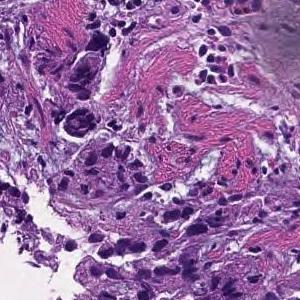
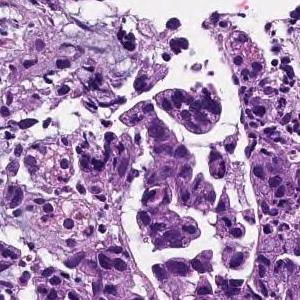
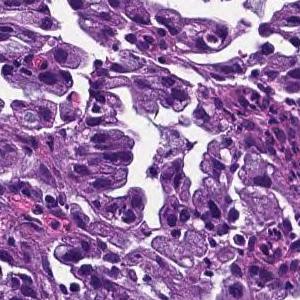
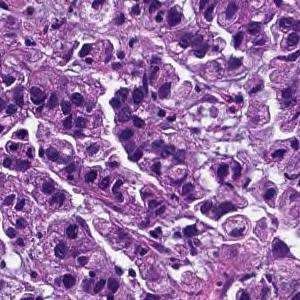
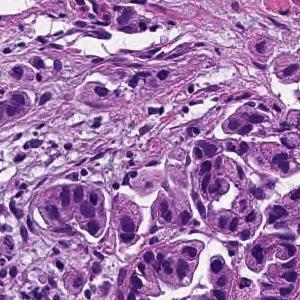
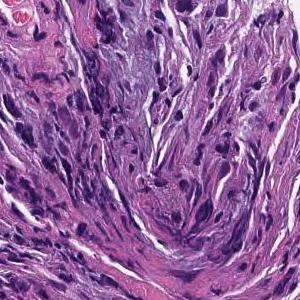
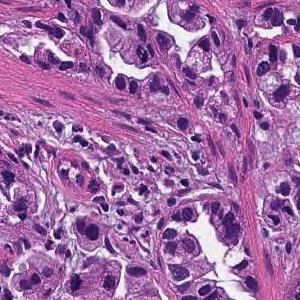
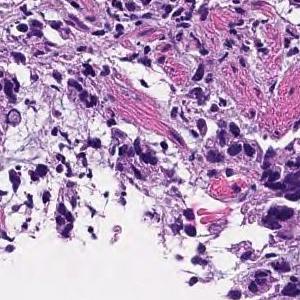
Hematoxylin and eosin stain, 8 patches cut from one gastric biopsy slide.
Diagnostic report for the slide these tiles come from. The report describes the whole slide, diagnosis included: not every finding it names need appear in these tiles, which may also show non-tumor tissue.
Tumor tissue consisting of medium-sized, cord-like or irregular glandular infiltration is observed in the superficial epithelium. Poorly differentiated adenocarcinoma, non-solid type or moderately differentiated tubular adenocarcinoma
Tumor subtype: moderately to poorly differentiated adenocarcinoma.
The non-solid type named here is a Japanese Classification of Gastric Carcinoma category.
